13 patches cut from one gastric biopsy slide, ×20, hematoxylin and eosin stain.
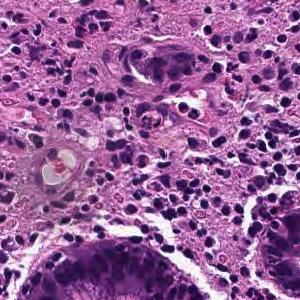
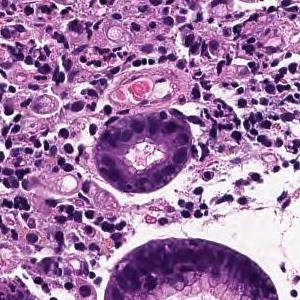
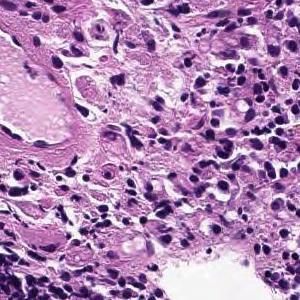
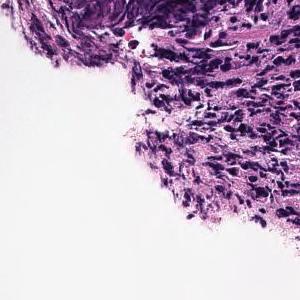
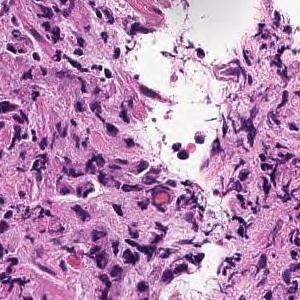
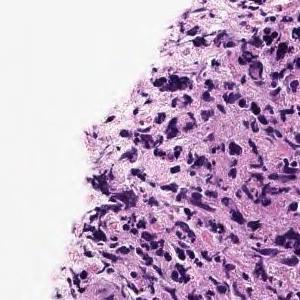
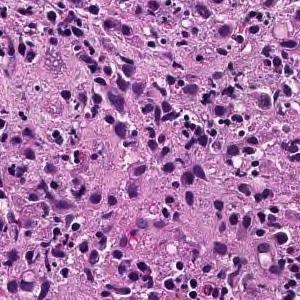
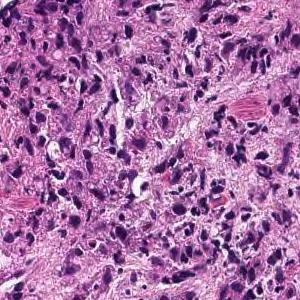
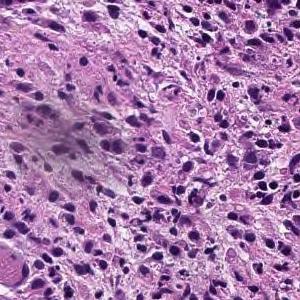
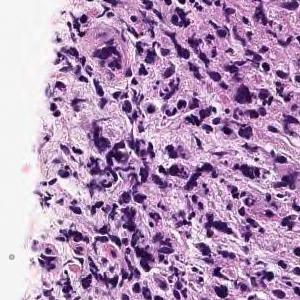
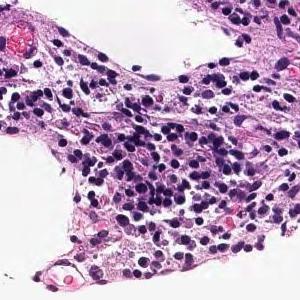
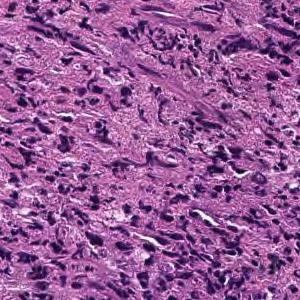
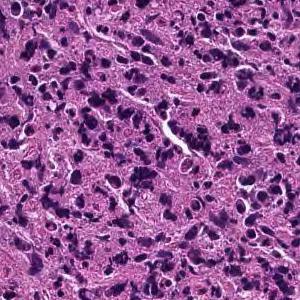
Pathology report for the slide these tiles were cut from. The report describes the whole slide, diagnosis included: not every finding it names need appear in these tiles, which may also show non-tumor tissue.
Large sheet-like or diffusely infiltrating tumor tissue is found in the superficial epithelium. Poorly differentiated adenocarcinoma, solid-type
Histological subtype: Poorly differentiated adenocarcinoma, solid type, a category of the Japanese Classification of Gastric Carcinoma; in the WHO 2019 classification it is tubular adenocarcinoma, poorly differentiated.
